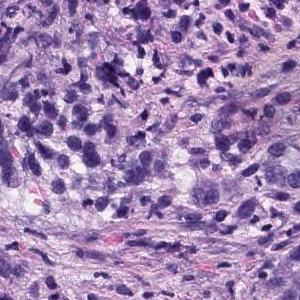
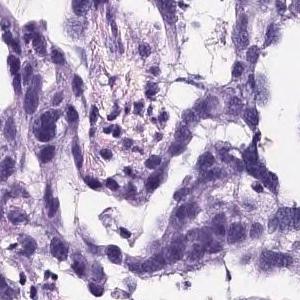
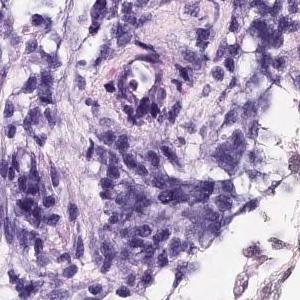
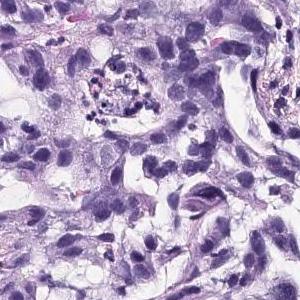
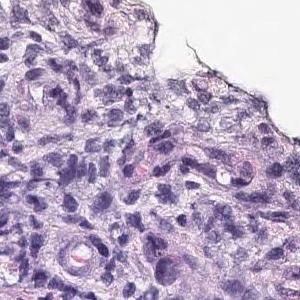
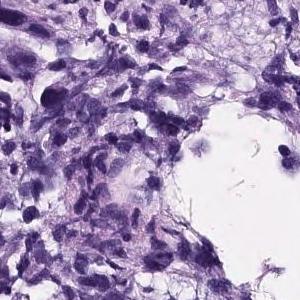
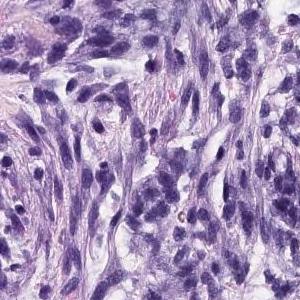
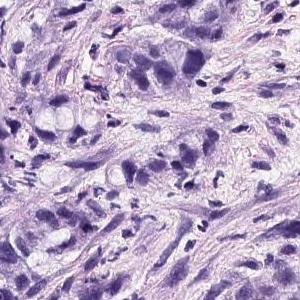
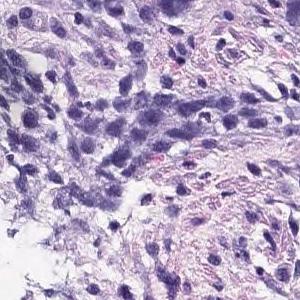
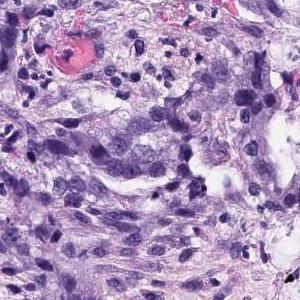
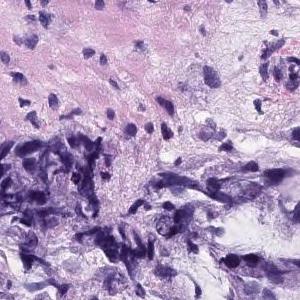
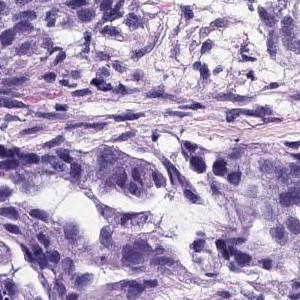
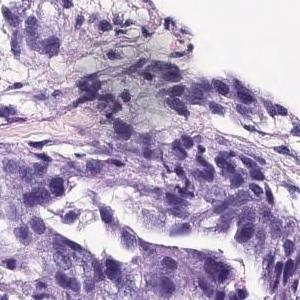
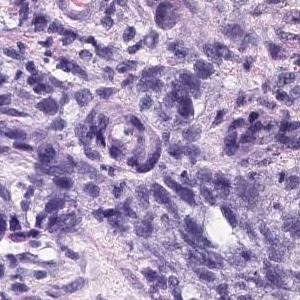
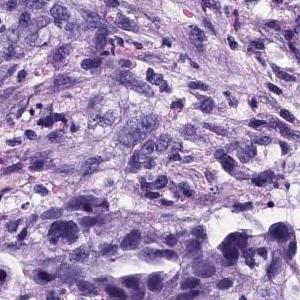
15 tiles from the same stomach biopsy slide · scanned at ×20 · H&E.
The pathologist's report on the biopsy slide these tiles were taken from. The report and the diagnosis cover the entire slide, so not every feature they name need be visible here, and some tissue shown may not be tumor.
Atypical l cells with atypical nuclei forming solid or diffuse vesicle nests and proliferating in a complex manner. Poorly differentiated adenocarcinoma, moderately differentiated tubular adenocarcinoma
Tumor subtype: moderately to poorly differentiated adenocarcinoma.
